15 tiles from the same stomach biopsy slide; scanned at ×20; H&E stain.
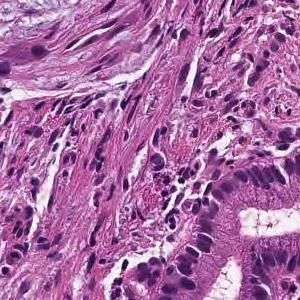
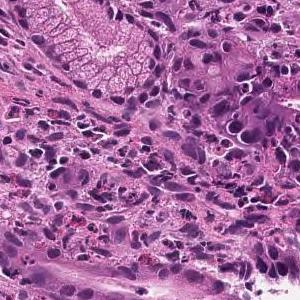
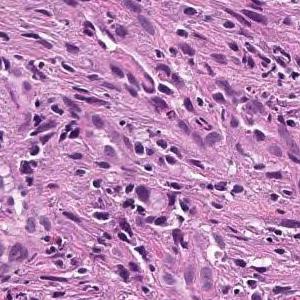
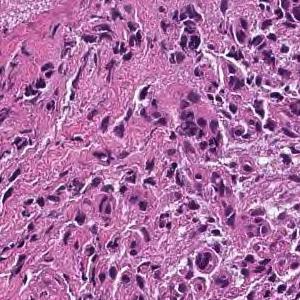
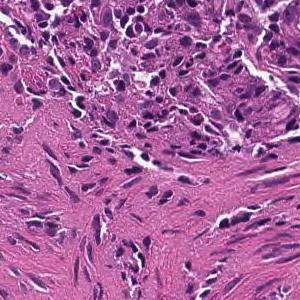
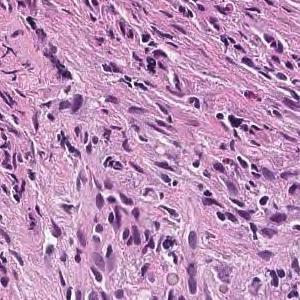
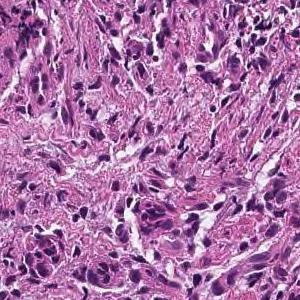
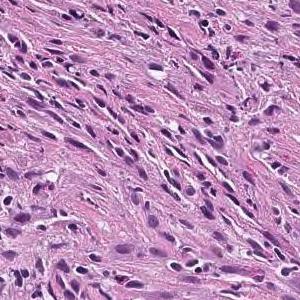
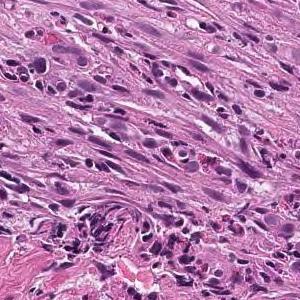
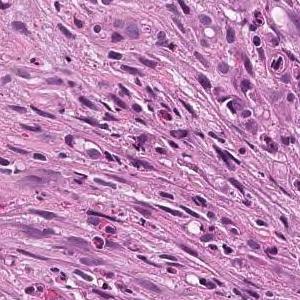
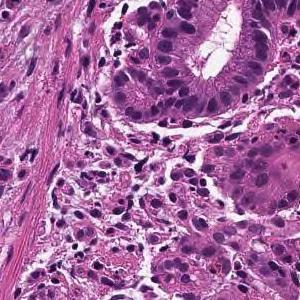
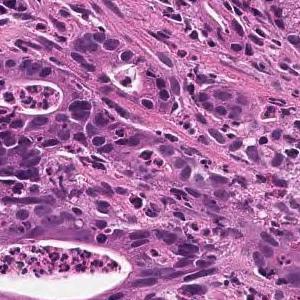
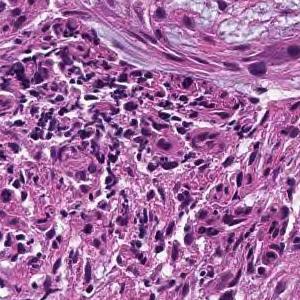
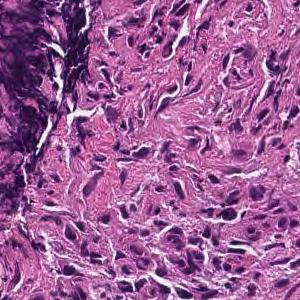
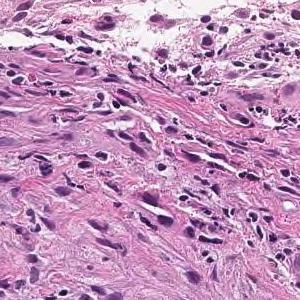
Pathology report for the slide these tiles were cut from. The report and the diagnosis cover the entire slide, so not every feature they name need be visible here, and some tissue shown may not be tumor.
In the superficial epithelium, tumor tissue that invades by forming medium-sized to small, irregular ducts is observed. moderately differentiated tubular adenocarcinoma.
